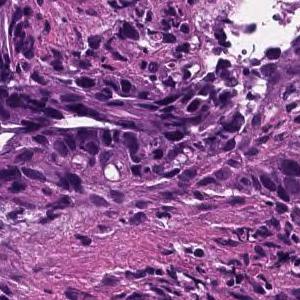
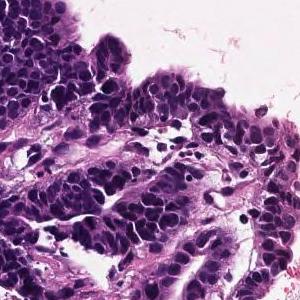
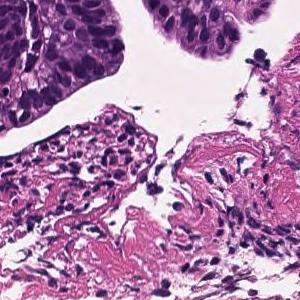
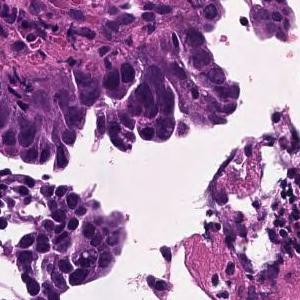
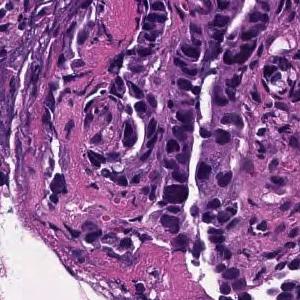
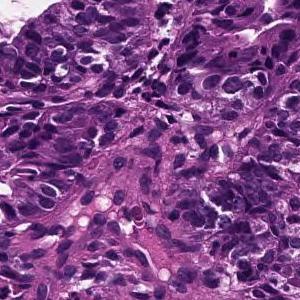
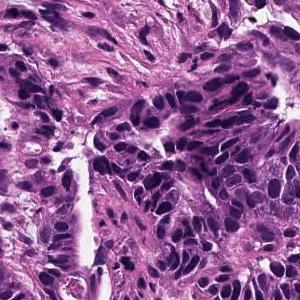
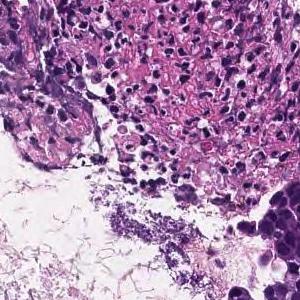
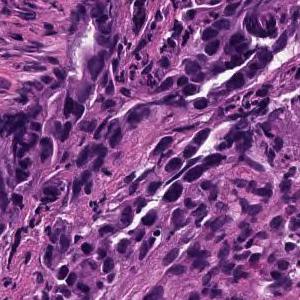
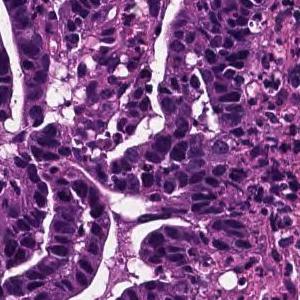
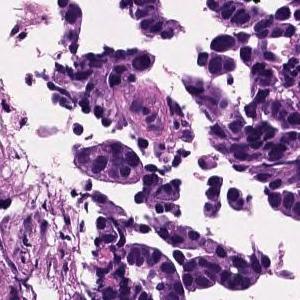
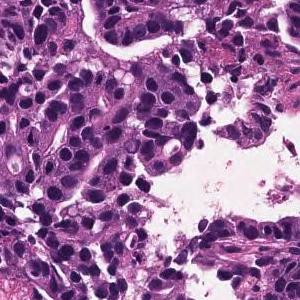
H&E · 12 tiles from the same stomach biopsy slide.
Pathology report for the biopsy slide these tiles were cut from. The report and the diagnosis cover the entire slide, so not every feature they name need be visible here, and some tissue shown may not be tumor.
Tumor cells are large, highly columnar, large club-shaped nuclei, and are associated with chromatin aggregation. Papillary adenocarcinoma.
